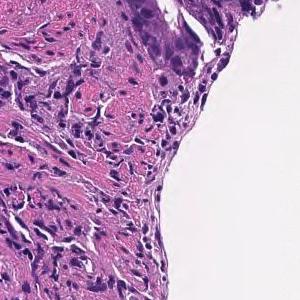
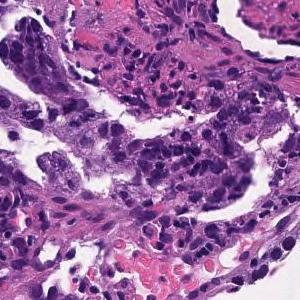
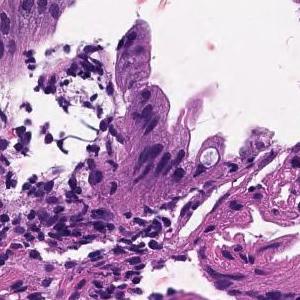
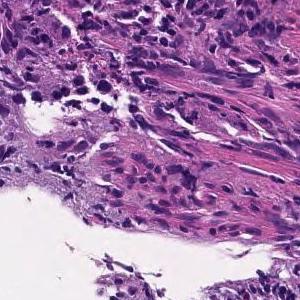
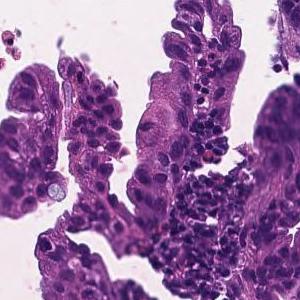
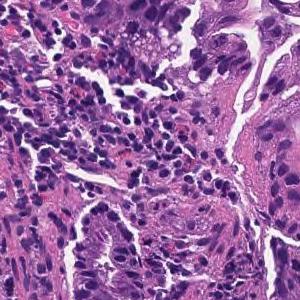
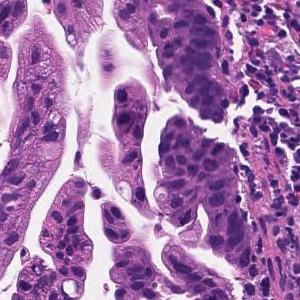
7 tiles from the same stomach biopsy slide · each 300 × 300 pixels · hematoxylin and eosin stain · ×20.
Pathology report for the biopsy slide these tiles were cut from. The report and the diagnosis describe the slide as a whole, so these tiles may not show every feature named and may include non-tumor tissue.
On the superficial epithelium, tumor tissue that infiltrates by forming medium-sized papillary or small irregular ducts is observed. Papillary adenocarcinoma
